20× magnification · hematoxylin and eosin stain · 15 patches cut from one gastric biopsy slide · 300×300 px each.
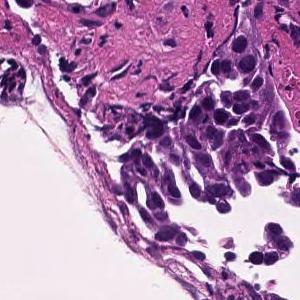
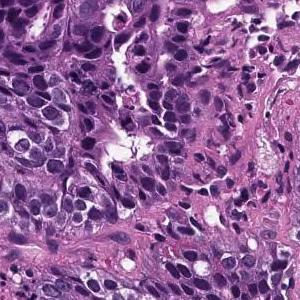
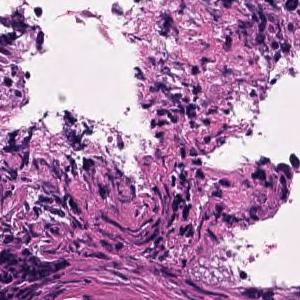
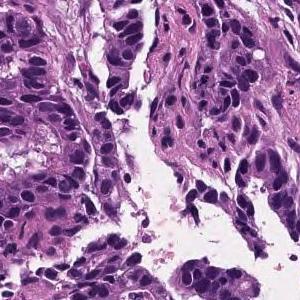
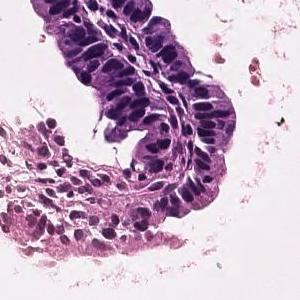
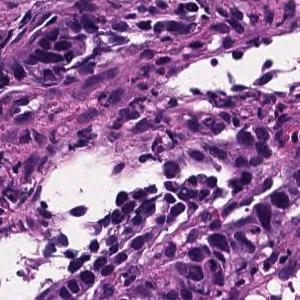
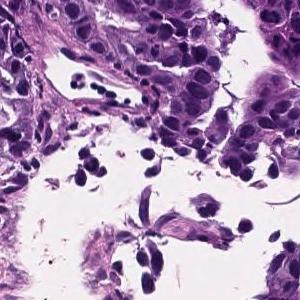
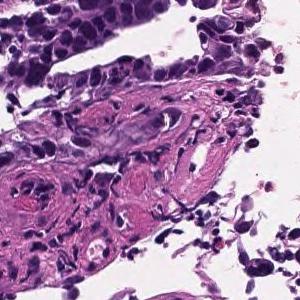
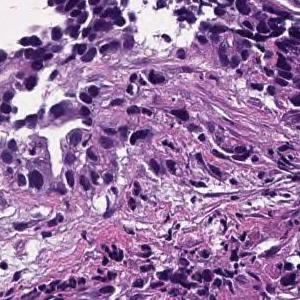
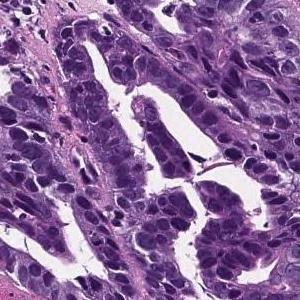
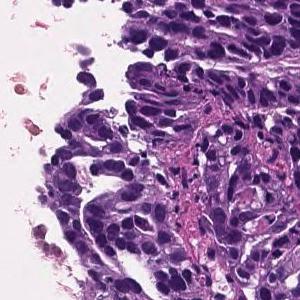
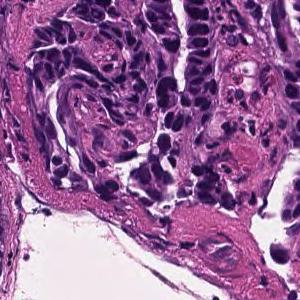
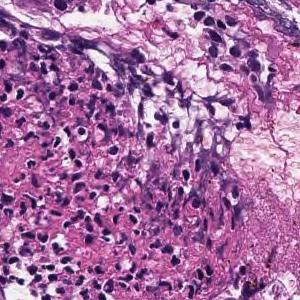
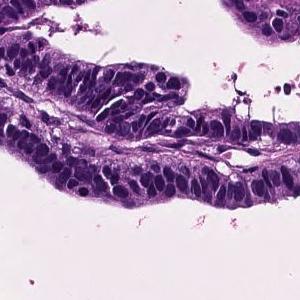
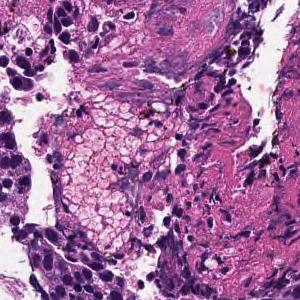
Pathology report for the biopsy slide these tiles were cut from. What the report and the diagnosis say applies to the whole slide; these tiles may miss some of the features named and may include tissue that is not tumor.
Tumor cells are large, highly columnar, large club-shaped nuclei, and are associated with chromatin aggregation. Papillary adenocarcinoma.
